H&E stain, scanned at ×20, 5 patches cut from one gastric biopsy slide.
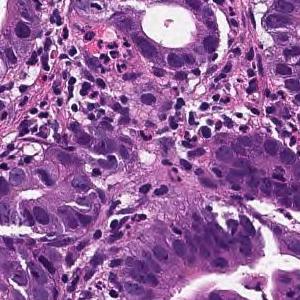
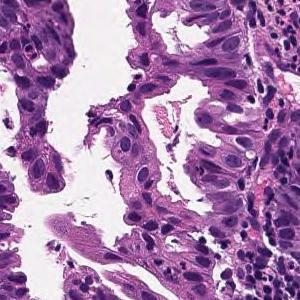
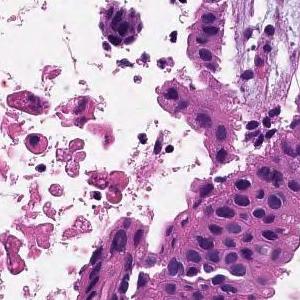
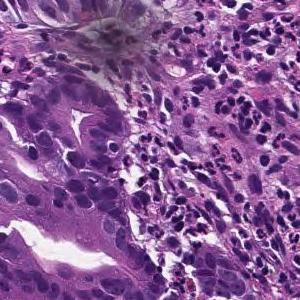
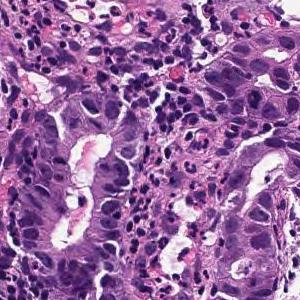
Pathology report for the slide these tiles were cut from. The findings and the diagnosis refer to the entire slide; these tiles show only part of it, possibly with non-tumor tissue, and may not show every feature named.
In the superficial epithelium, tumor tissue that invades by forming medium-sized to small, irregular ducts is observed. moderately differentiated tubular adenocarcinoma.
